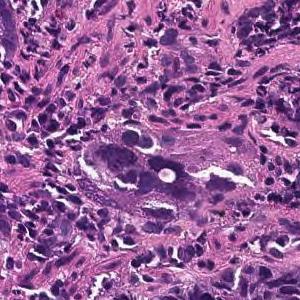
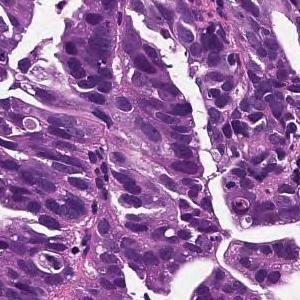
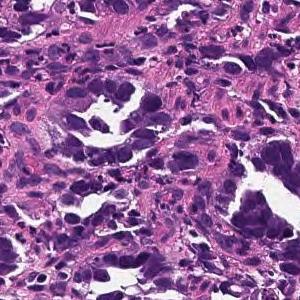
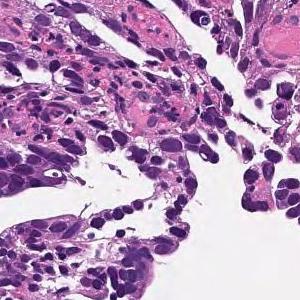
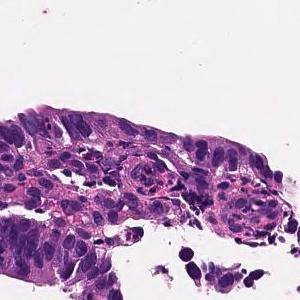
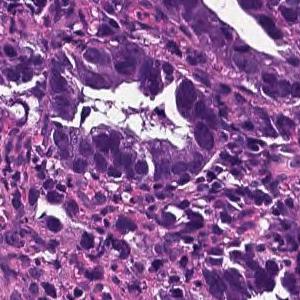
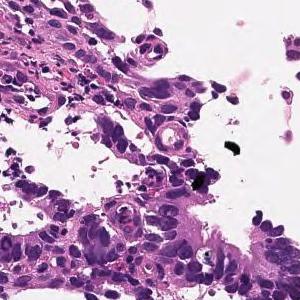
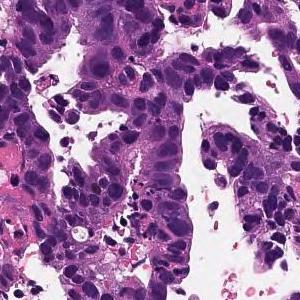
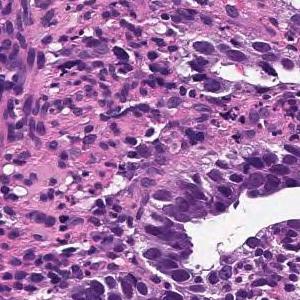
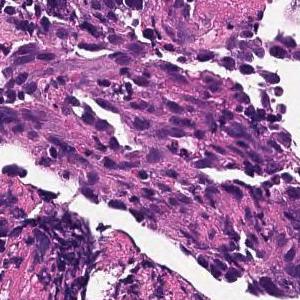
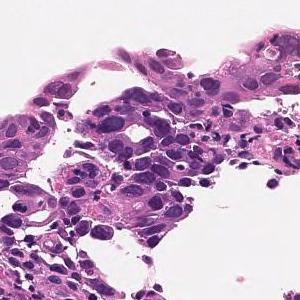
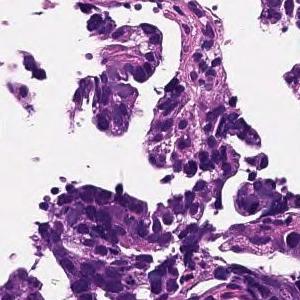
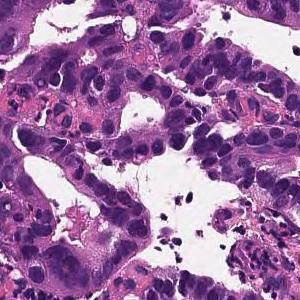
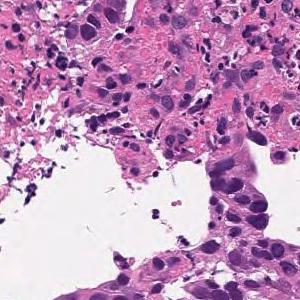
×20, hematoxylin and eosin stain, 14 patches cut from one gastric biopsy slide, 300 × 300 pixels each.
Report on the slide these tiles come from. What the report and the diagnosis say applies to the whole slide; these tiles may miss some of the features named and may include tissue that is not tumor.
Tumor cells are large, highly columnar, large club-shaped nuclei, and are associated with chromatin aggregation. Papillary adenocarcinoma.
